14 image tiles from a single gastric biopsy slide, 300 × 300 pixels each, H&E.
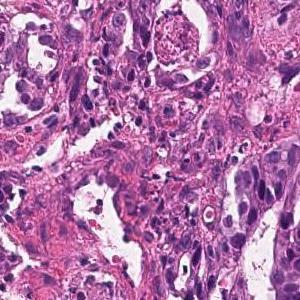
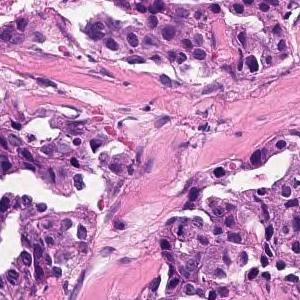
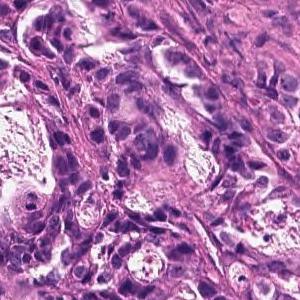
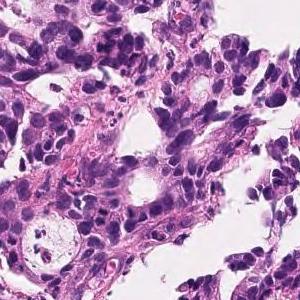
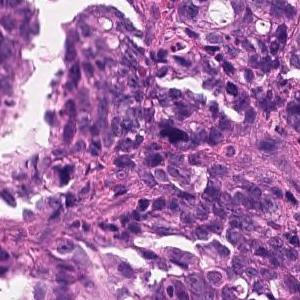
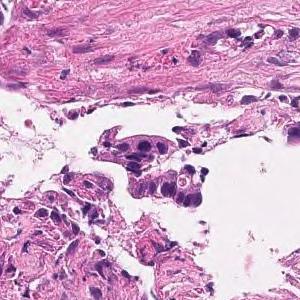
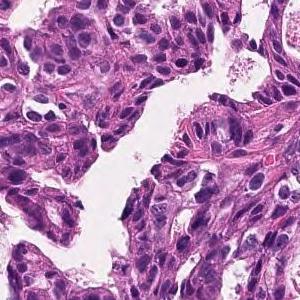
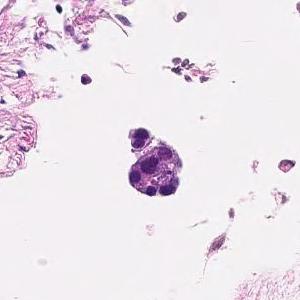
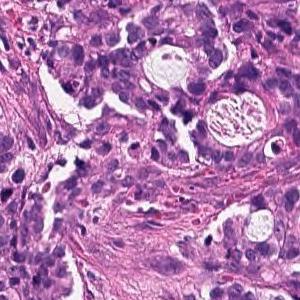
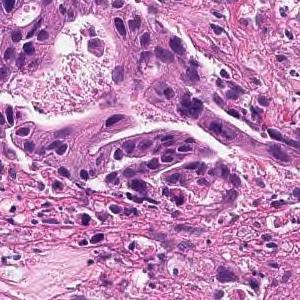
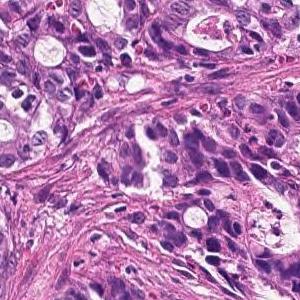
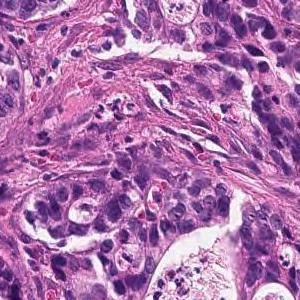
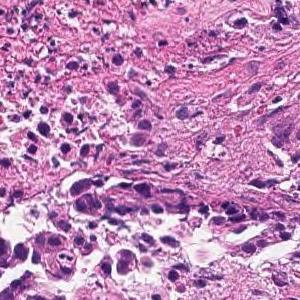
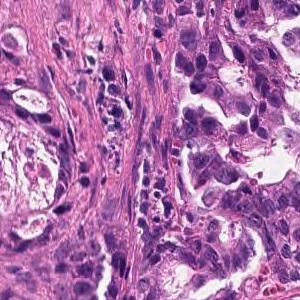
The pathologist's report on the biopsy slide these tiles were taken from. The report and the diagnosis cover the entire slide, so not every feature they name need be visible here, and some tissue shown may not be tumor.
On the superficial epithelium, tumor tissue consisting of images of small to medium-sized and irregular tubules infiltrating with irregular fusion is observed. moderately differentiated tubular adenocarcinoma
